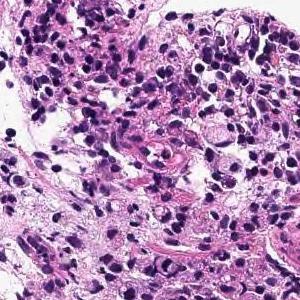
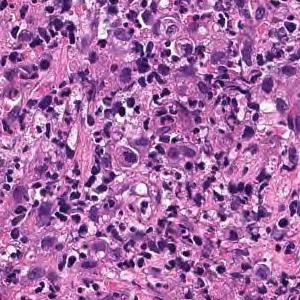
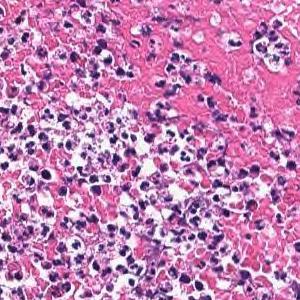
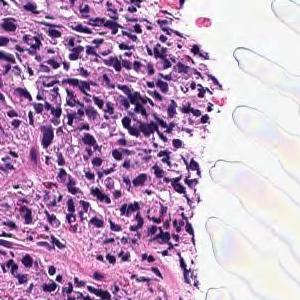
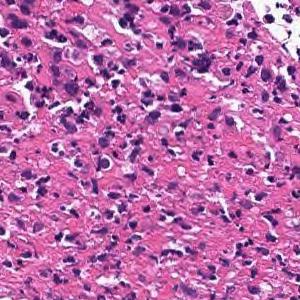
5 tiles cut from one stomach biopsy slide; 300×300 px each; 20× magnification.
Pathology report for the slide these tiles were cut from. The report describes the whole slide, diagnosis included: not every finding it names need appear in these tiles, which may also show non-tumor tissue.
Tumor tissue consisting of diffusely infiltrated large atypical epithelial cells or signet ring atypical cells is observed in the superficial epithelium. Poorly differentiated adenocarcinoma, solid-type
Tumor subtype: poorly differentiated adenocarcinoma, solid type. This name comes from the Japanese Classification of Gastric Carcinoma; the WHO 2019 classification calls it tubular adenocarcinoma, poorly differentiated.
